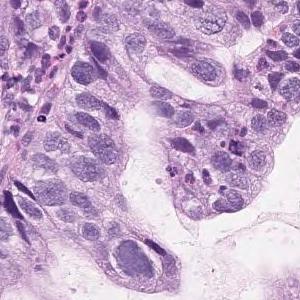
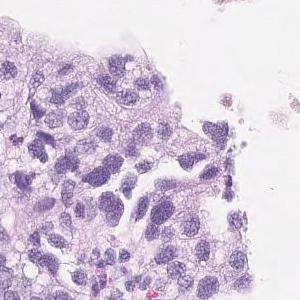
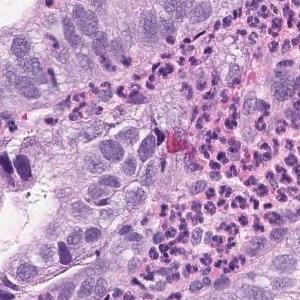
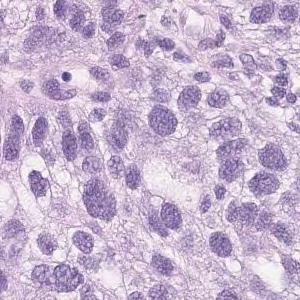
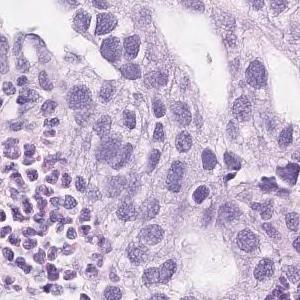
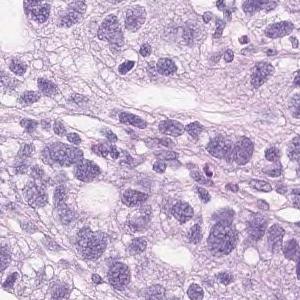
6 tiles cut from one stomach biopsy slide.
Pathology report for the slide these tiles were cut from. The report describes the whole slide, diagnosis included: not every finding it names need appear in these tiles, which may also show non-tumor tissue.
On the superficial epithelium, tumor tissue consisting of large, irregular glandular ducts partially fused and infiltrated is observed. Well to moderately differentiated tubular adenocarcinoma (well differentiated tubular adenocarcinoma, moderately differentiated tubular adenocarcinoma)
Histological subtype: Well to moderately differentiated tubular adenocarcinoma.
